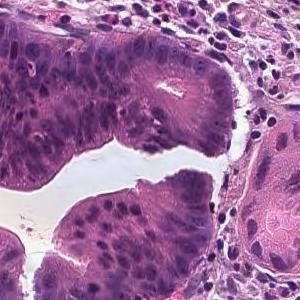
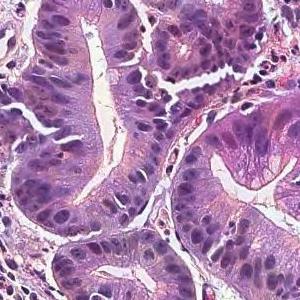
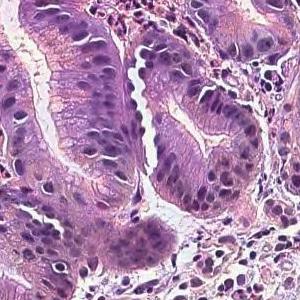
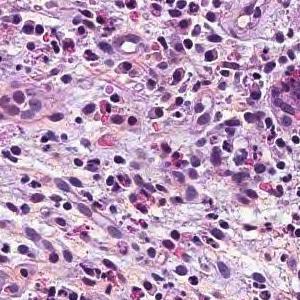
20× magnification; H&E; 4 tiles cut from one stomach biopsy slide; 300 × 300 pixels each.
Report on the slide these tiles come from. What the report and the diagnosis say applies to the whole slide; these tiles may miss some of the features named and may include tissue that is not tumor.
On the superficial epithelium, tumor tissue that infiltrates by forming medium-sized papillary or small irregular ducts is observed. Papillary adenocarcinoma
